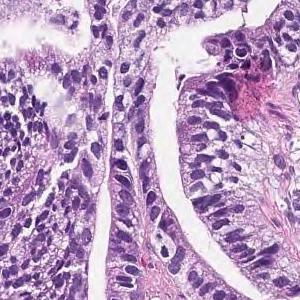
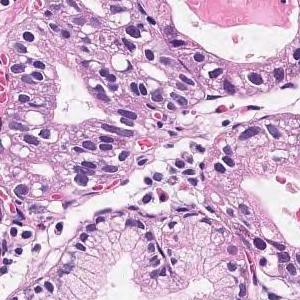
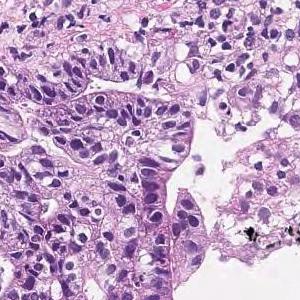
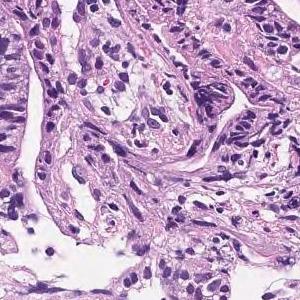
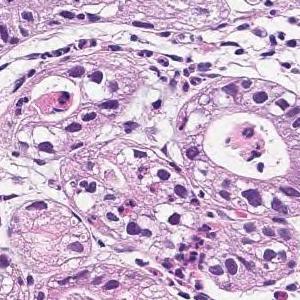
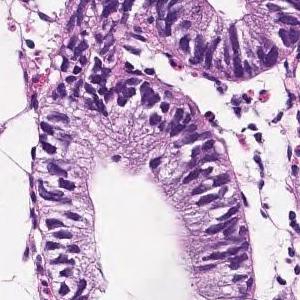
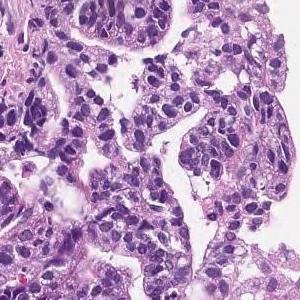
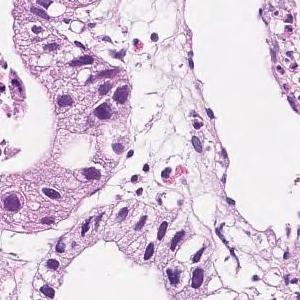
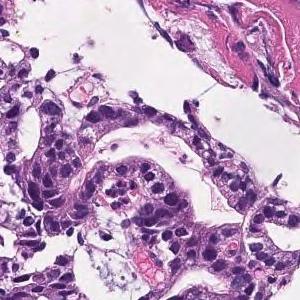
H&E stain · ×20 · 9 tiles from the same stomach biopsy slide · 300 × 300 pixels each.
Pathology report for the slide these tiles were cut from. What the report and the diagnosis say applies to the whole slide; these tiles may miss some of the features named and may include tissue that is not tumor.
In the superficial epithelium, tumor tissue that invades by forming medium-sized to small, irregular ducts is observed. Moderately differentiated adenocarcinoma.
Tumor subtype: moderately differentiated tubular adenocarcinoma.
